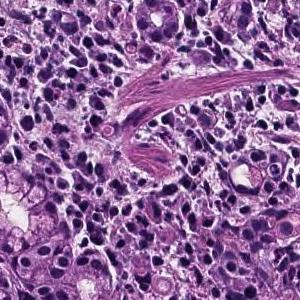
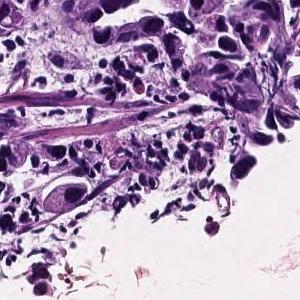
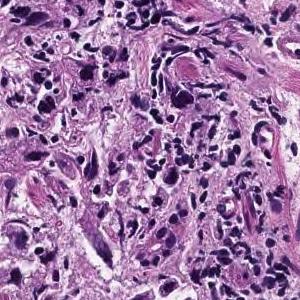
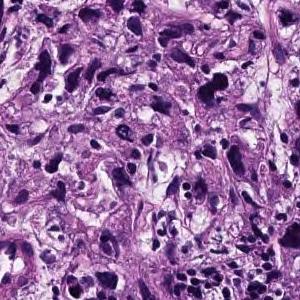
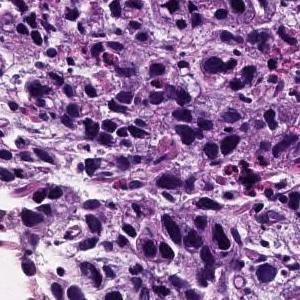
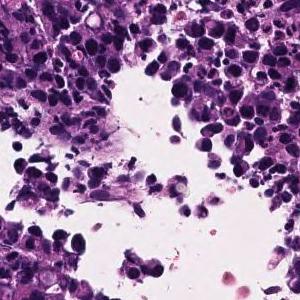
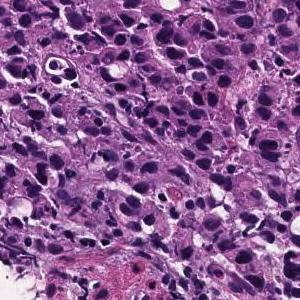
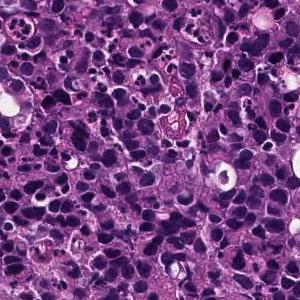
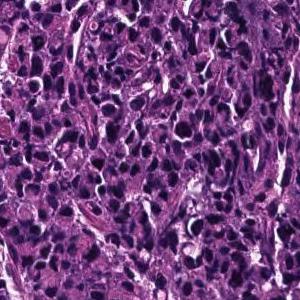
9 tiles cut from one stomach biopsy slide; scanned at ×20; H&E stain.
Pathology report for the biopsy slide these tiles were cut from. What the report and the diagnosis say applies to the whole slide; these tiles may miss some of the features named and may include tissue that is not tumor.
The superficial epithelium shows a large sheet-like shape, and some tumor tissue infiltrates with small irregular ducts. Poorly differentiated adenocarcinoma, solid-type
Classified as poorly differentiated adenocarcinoma, solid type (Japanese Classification of Gastric Carcinoma). The WHO 2019 equivalent is tubular adenocarcinoma, poorly differentiated.
